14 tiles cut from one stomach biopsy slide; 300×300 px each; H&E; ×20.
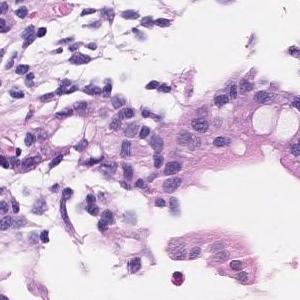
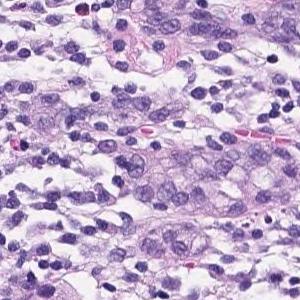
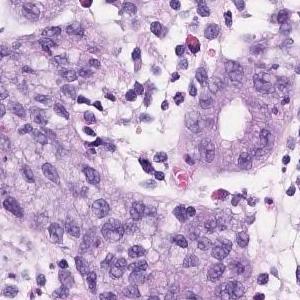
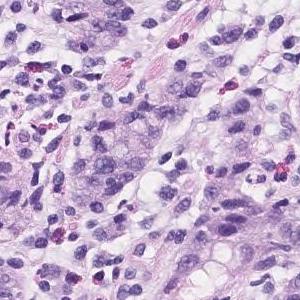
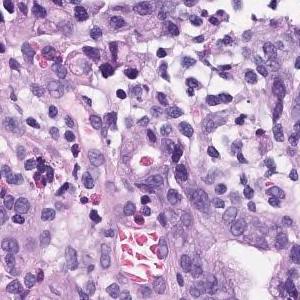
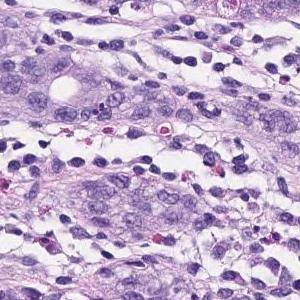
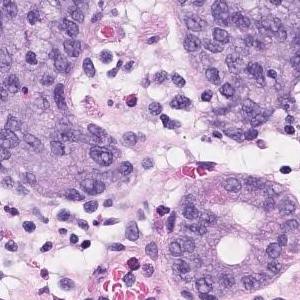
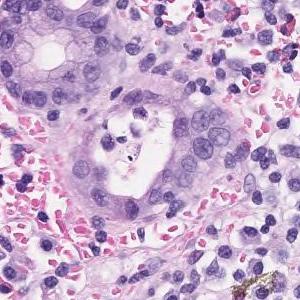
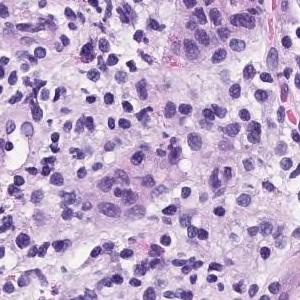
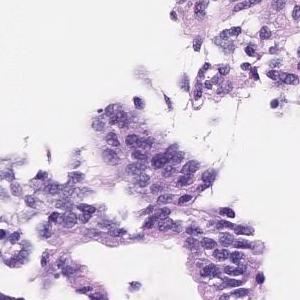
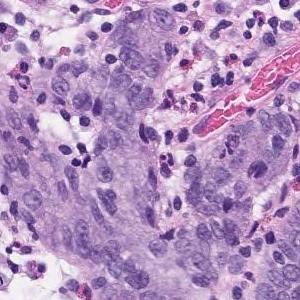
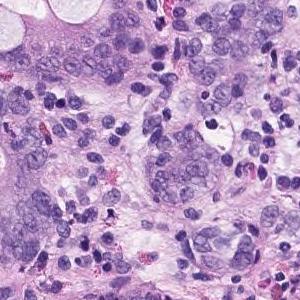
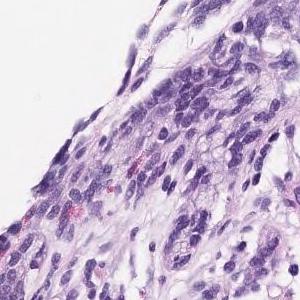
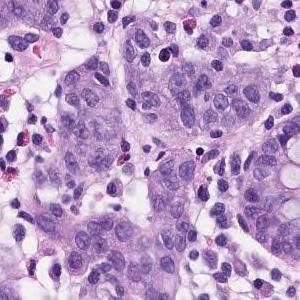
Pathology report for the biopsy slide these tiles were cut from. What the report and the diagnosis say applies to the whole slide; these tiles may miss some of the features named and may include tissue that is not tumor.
Atypical l cells with atypical nuclei forming diffuse or small irregular atypical ducts and growing. Moderately to poorly differentiated adenocarcinoma (poorly differentiated adenocarcinoma, solid type moderately differentiated tubular adenocarcinoma)
Classified as moderately to poorly differentiated adenocarcinoma.
The solid type named here is a Japanese Classification of Gastric Carcinoma category; WHO 2019 calls it tubular adenocarcinoma, poorly differentiated.
